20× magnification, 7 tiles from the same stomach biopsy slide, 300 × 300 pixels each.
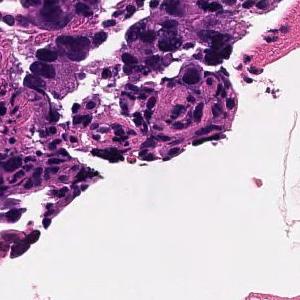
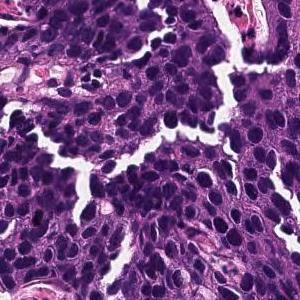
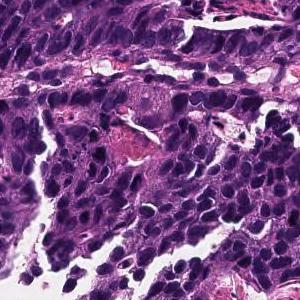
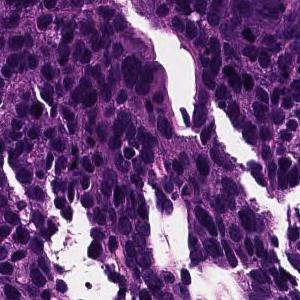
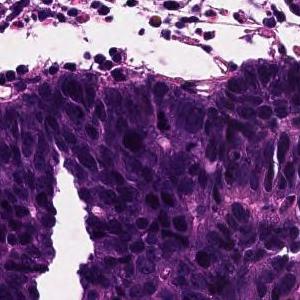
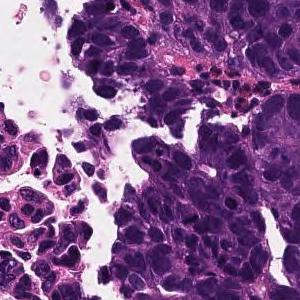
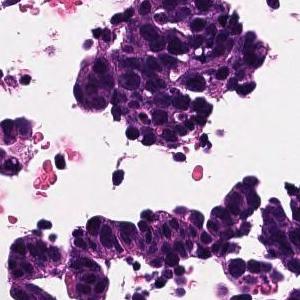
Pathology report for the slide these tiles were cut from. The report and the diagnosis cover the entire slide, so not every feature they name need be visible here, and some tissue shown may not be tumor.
In the superficial epithelium, tumor tissue that invades by forming medium-sized to small, irregular ducts is observed. moderately differentiated tubular adenocarcinoma.
